16 tiles from the same stomach biopsy slide; 20× magnification; hematoxylin and eosin stain.
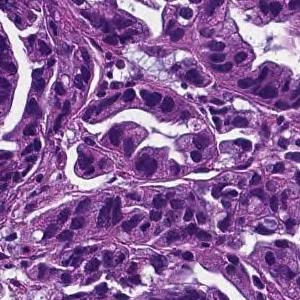
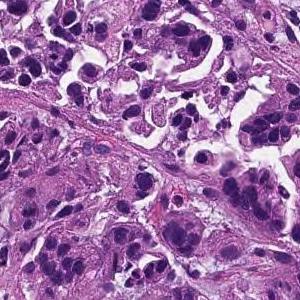
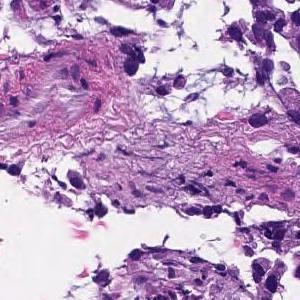
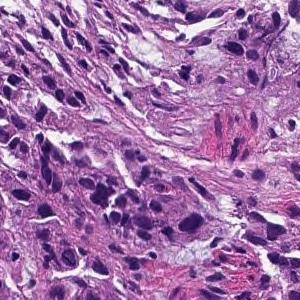
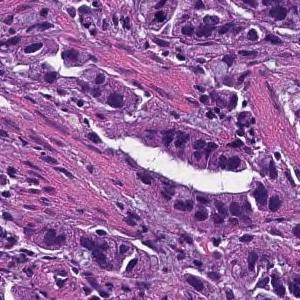
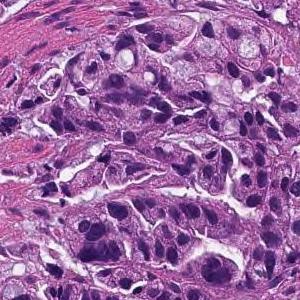
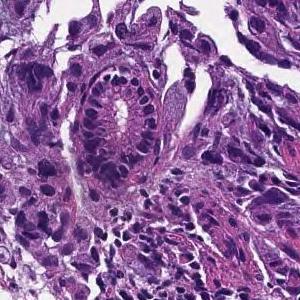
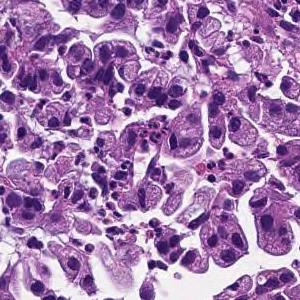
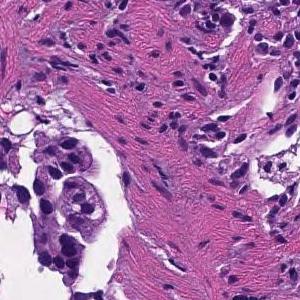
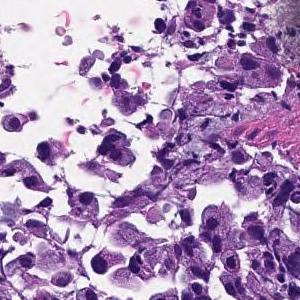
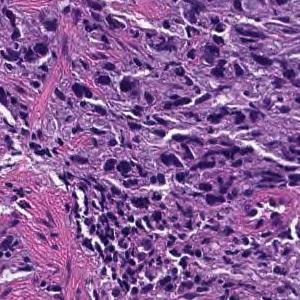
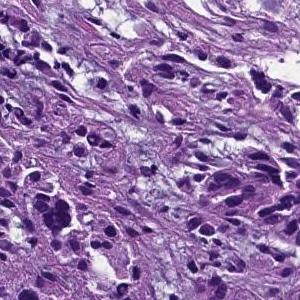
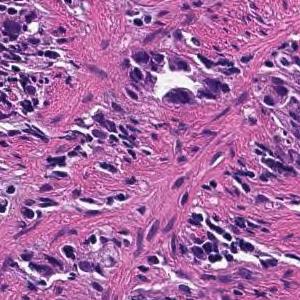
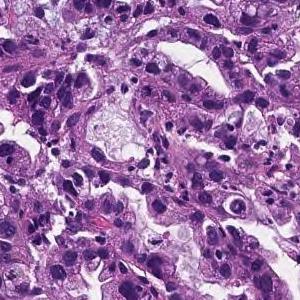
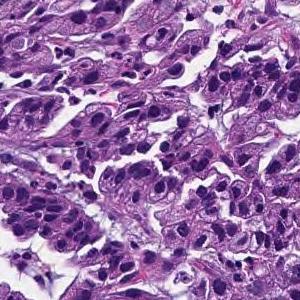
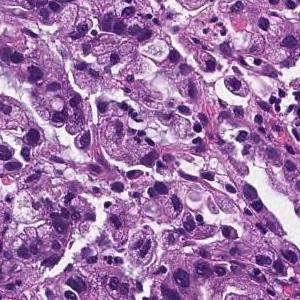
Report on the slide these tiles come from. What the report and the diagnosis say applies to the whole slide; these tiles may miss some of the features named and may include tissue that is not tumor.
Tumor tissue consisting of medium-sized, cord-like or irregular glandular infiltration is observed in the superficial epithelium. Poorly differentiated adenocarcinoma, non-solid type or moderately differentiated tubular adenocarcinoma
Histological subtype: Moderately to poorly differentiated adenocarcinoma.
The non-solid type named here is a Japanese Classification of Gastric Carcinoma category.
